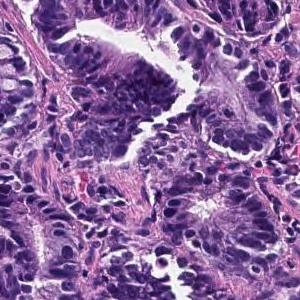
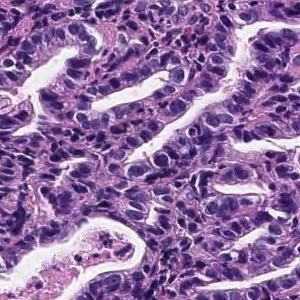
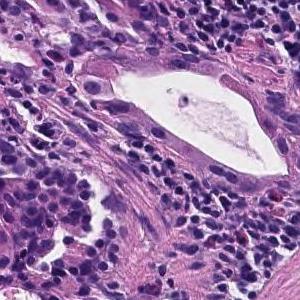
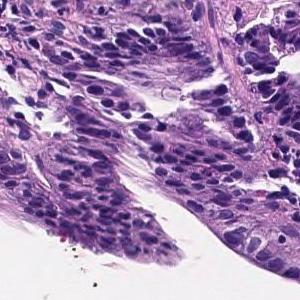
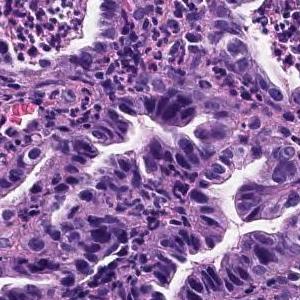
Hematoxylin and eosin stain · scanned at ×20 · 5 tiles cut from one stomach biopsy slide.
The pathologist's report on the biopsy slide these tiles were taken from. What the report and the diagnosis say applies to the whole slide; these tiles may miss some of the features named and may include tissue that is not tumor.
The superficial tumors shows large papillary structures or large and small ducts and infiltrates. Papillary adenocarcinoma.
